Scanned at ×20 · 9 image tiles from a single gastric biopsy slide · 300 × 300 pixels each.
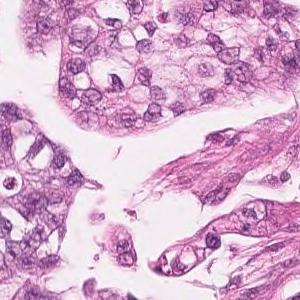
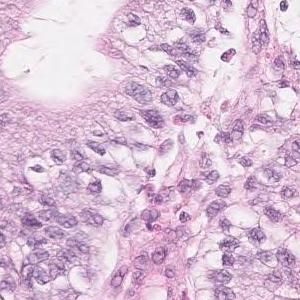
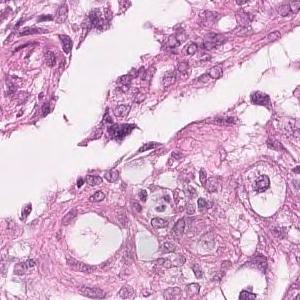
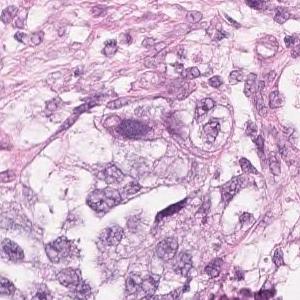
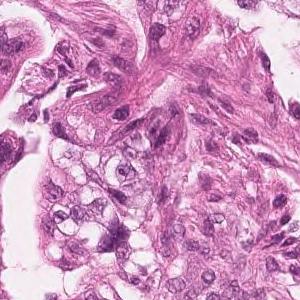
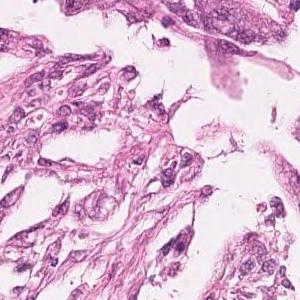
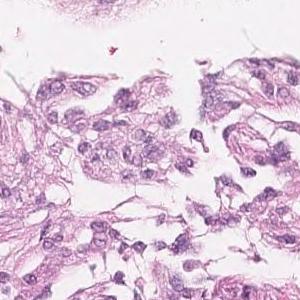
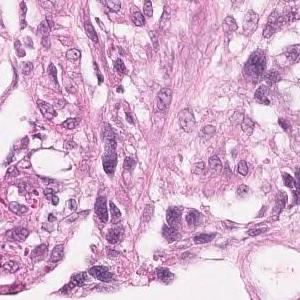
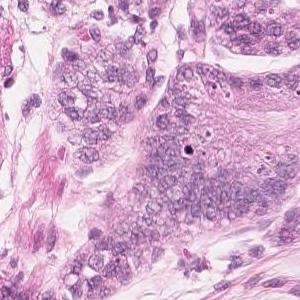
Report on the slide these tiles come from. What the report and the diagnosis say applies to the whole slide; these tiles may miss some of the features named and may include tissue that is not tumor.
Highly columnar epithelium with disordered nuclear localization proliferates showing fusion ductal construction. moderately differentiated tubular adenocarcinoma
